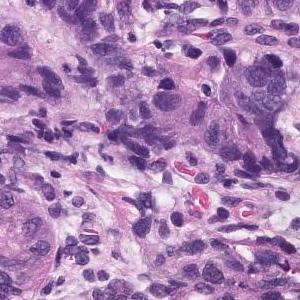
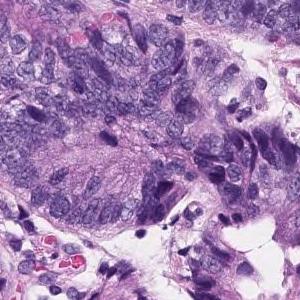
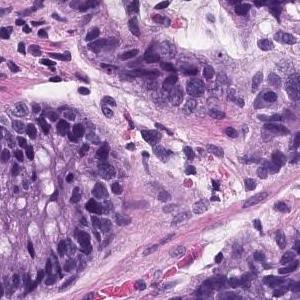
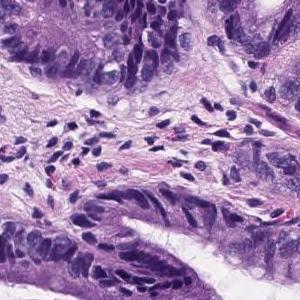
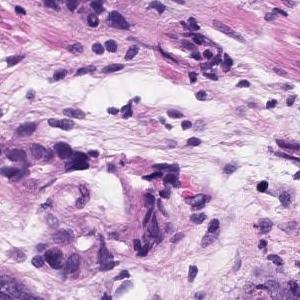
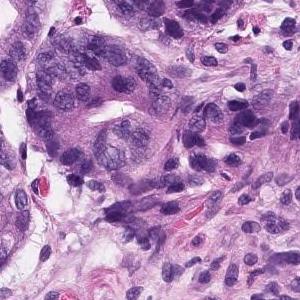
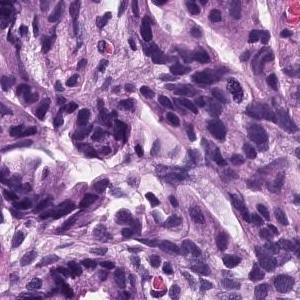
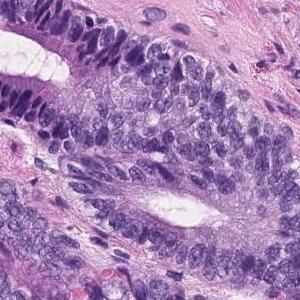
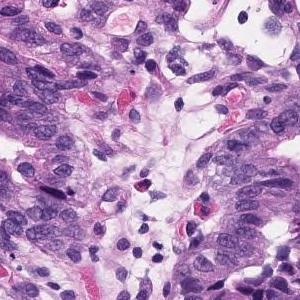
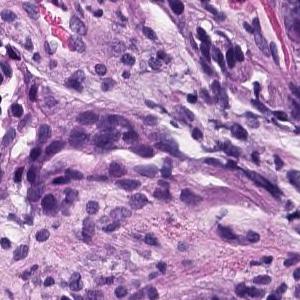
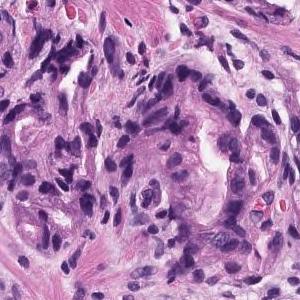
11 tiles from the same stomach biopsy slide · ×20 · H&E.
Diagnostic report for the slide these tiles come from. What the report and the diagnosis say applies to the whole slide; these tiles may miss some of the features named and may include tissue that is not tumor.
In the superficial epithelium, tumor tissue that invades by forming medium-sized to small, irregular ducts is observed. Moderately differentiated adenocarcinoma.
Tumor subtype: moderately differentiated tubular adenocarcinoma.
